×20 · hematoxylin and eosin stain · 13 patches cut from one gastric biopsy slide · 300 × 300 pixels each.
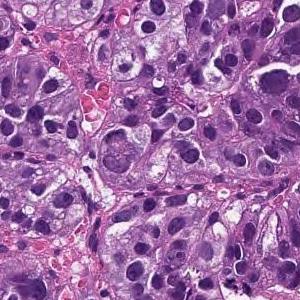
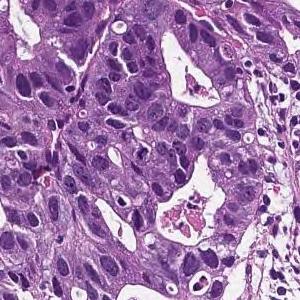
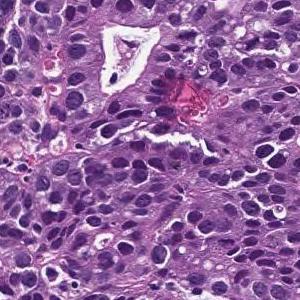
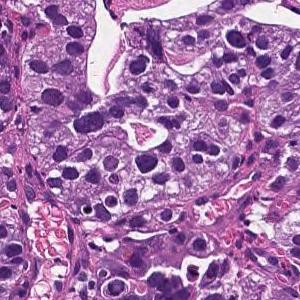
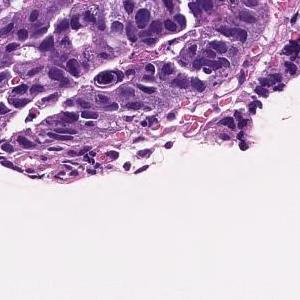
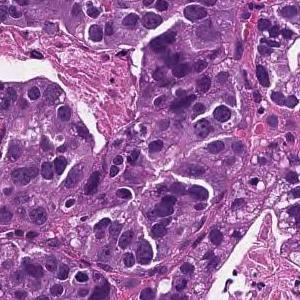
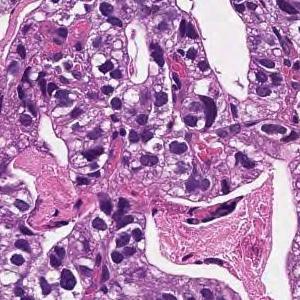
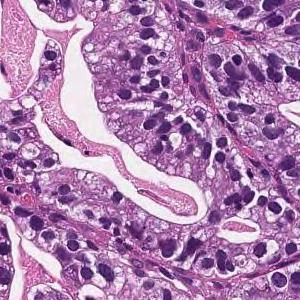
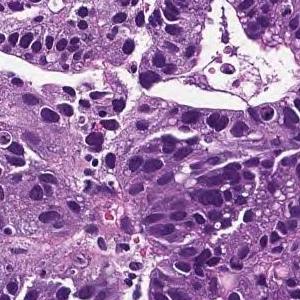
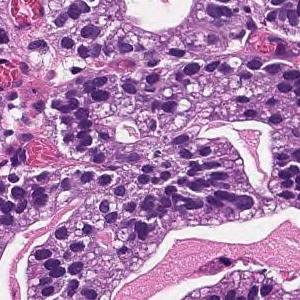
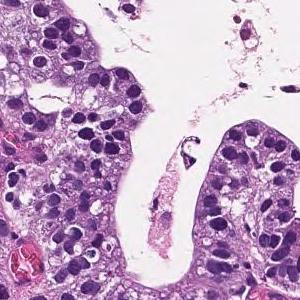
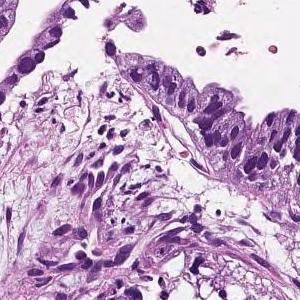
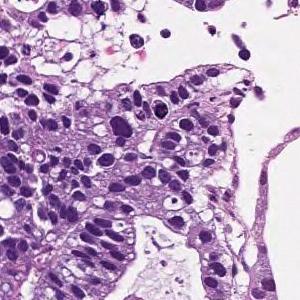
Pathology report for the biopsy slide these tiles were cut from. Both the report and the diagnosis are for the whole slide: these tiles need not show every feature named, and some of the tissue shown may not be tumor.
On the superficial epithelium, tumor tissue consisting of large, irregular glandular ducts partially fused and infiltrated is observed. Well to moderately differentiated tubular adenocarcinoma (well differentiated tubular adenocarcinoma, moderately differentiated tubular adenocarcinoma)
Classified as well to moderately differentiated tubular adenocarcinoma.
